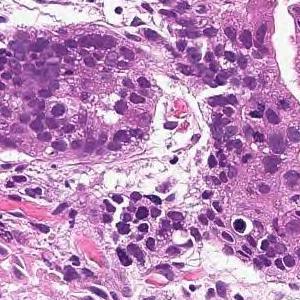
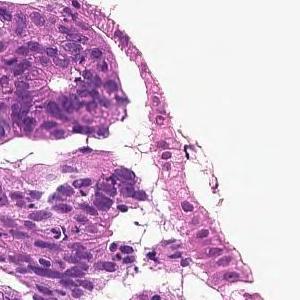
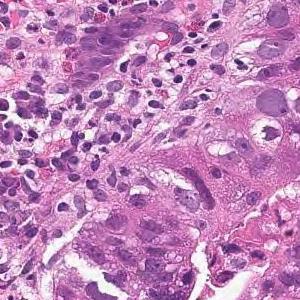
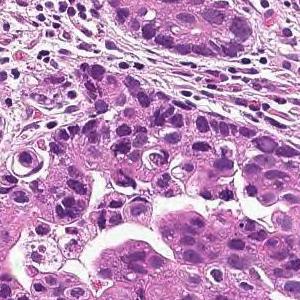
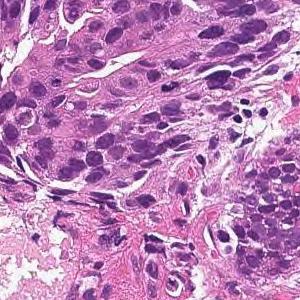
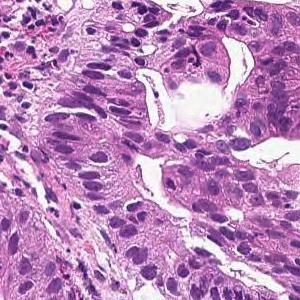
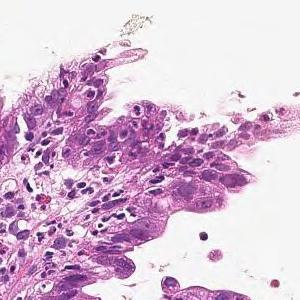
7 image tiles from a single gastric biopsy slide, H&E.
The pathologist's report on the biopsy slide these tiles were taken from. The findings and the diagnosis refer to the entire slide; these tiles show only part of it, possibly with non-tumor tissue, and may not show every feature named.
On the superficial epithelium, tumor tissue that infiltrates by forming medium-sized papillary or small irregular ducts is observed. Papillary adenocarcinoma
